8 image tiles from a single gastric biopsy slide, 300 × 300 pixels each, hematoxylin and eosin stain, 20× magnification.
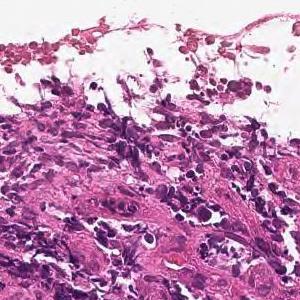
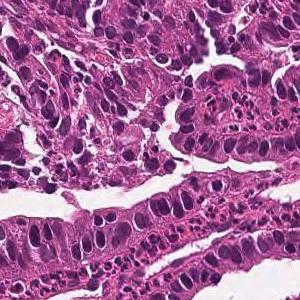
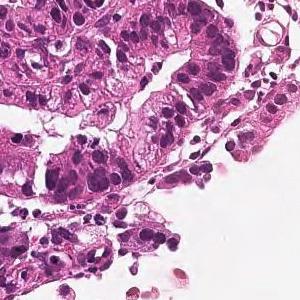
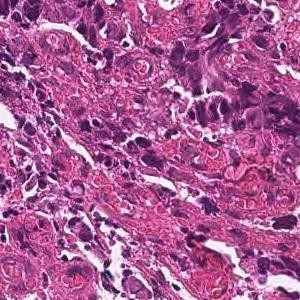
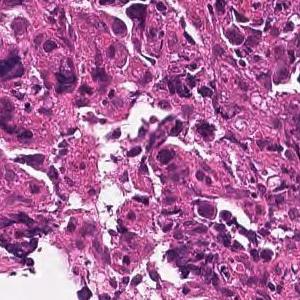
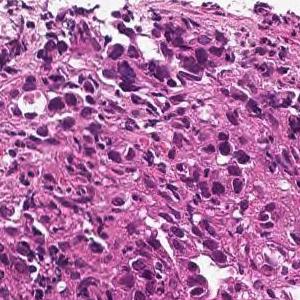
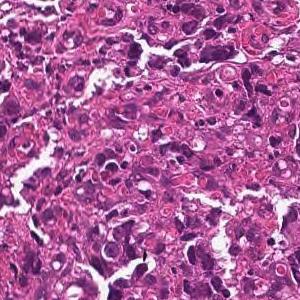
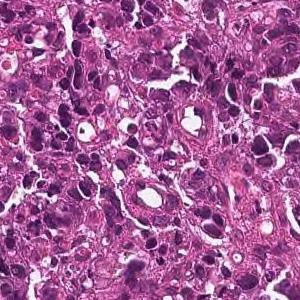
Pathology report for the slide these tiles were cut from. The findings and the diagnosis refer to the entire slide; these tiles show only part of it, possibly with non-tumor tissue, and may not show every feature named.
Tumor tissue consisting of medium-sized, cord-like or irregular glandular infiltration is observed in the superficial epithelium. Poorly differentiated adenocarcinoma, non-solid type or moderately differentiated tubular adenocarcinoma
Histological subtype: Moderately to poorly differentiated adenocarcinoma.
The non-solid type named here is a Japanese Classification of Gastric Carcinoma category.
